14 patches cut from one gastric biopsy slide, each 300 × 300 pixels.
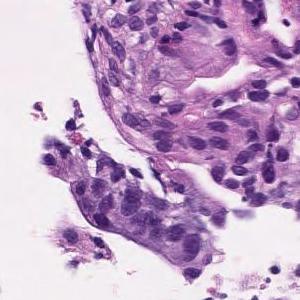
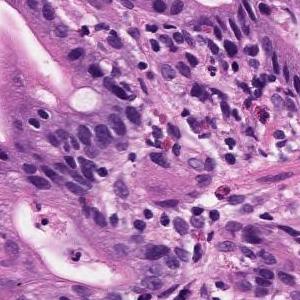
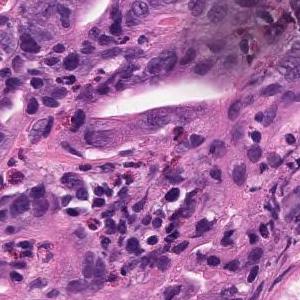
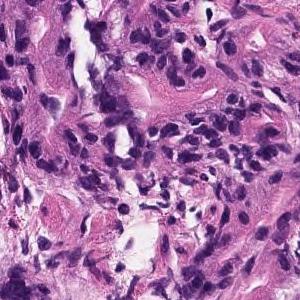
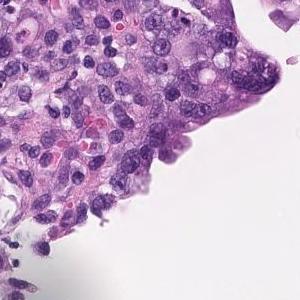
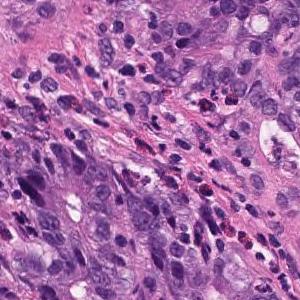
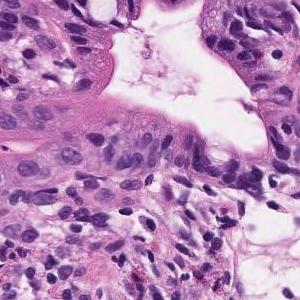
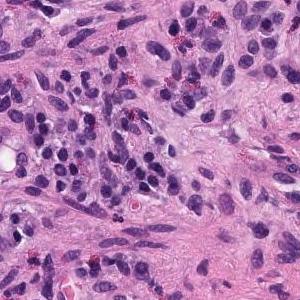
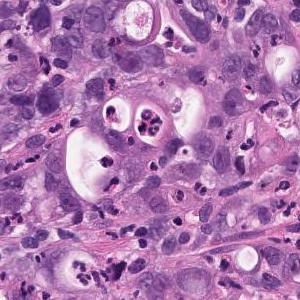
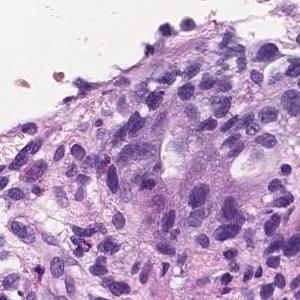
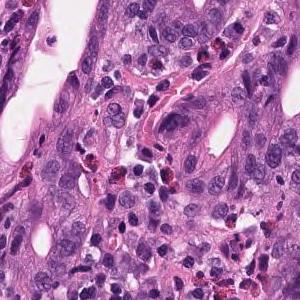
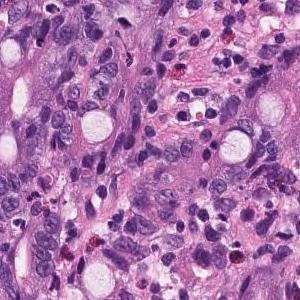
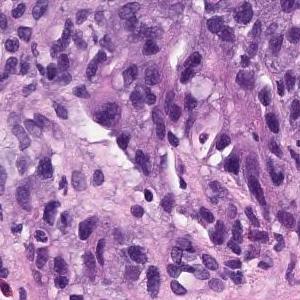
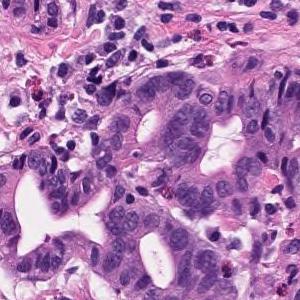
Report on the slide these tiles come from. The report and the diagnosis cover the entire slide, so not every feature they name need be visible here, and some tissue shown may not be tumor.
moderately differentiated tubular adenocarcinoma, Poorly differentiated adenocarcinoma
Labeled in the dataset as poorly differentiated adenocarcinoma, solid type, a category of the Japanese Classification of Gastric Carcinoma; in the WHO 2019 classification it is tubular adenocarcinoma, poorly differentiated.
